H&E · ×20 · 16 patches cut from one gastric biopsy slide.
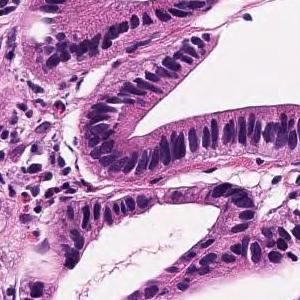
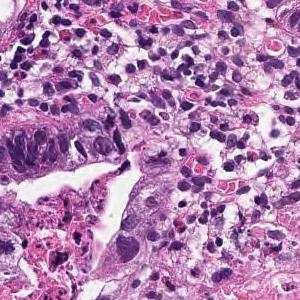
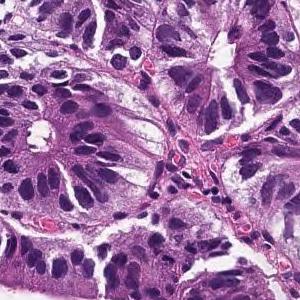
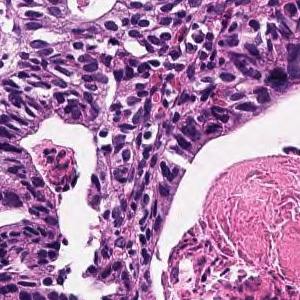
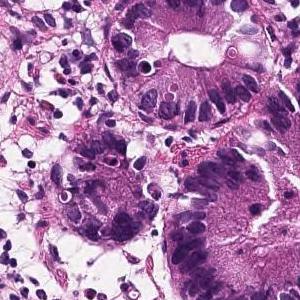
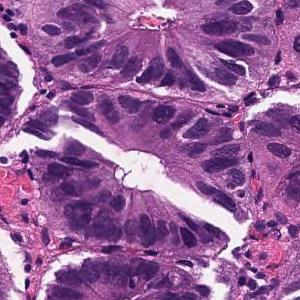
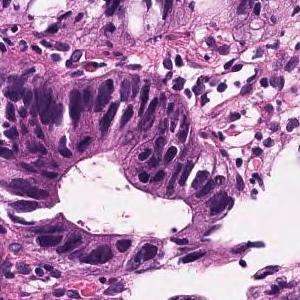
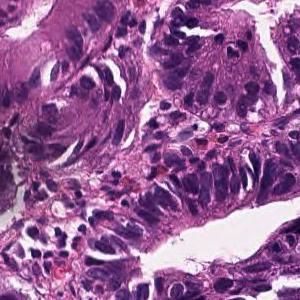
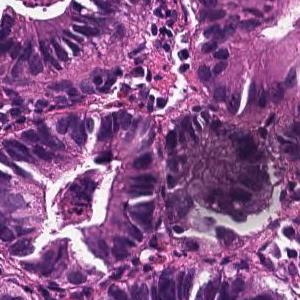
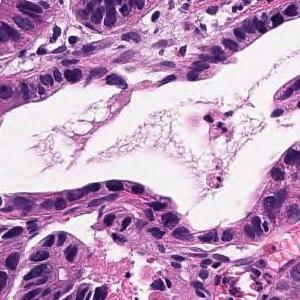
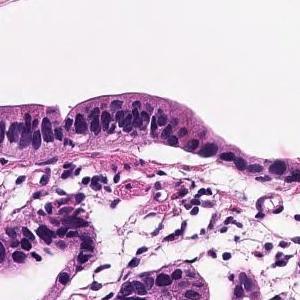
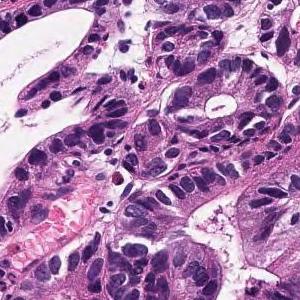
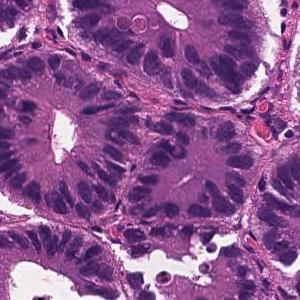
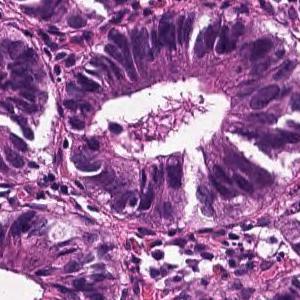
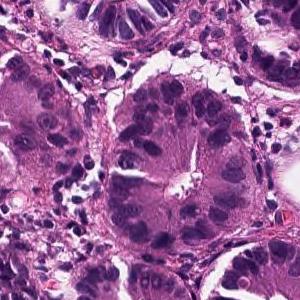
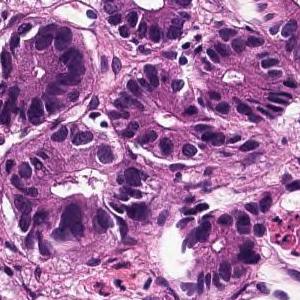
The pathologist's report on the biopsy slide these tiles were taken from. The findings and the diagnosis refer to the entire slide; these tiles show only part of it, possibly with non-tumor tissue, and may not show every feature named.
Atypical epithelial cells form glandular cavities and proliferate. Well differentiated tubular adenocarcinoma
